Scanned at ×20; H&E stain; 5 patches cut from one gastric biopsy slide; 300×300 px each.
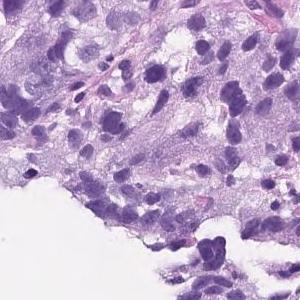
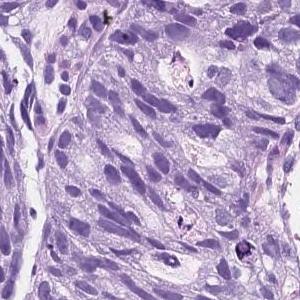
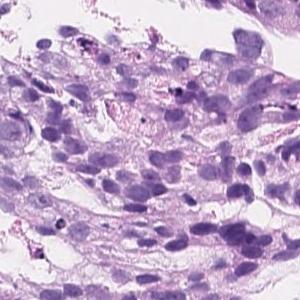
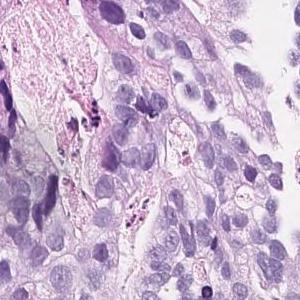
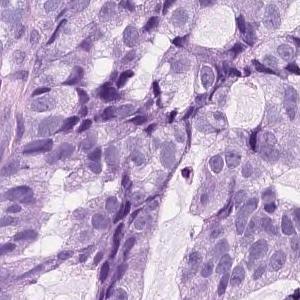
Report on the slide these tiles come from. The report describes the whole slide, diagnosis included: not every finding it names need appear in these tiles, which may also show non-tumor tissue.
On the superficial epithelium, tumor tissue consisting of an image of large, irregular glandular ducts partially fused and infiltrated is observed. Well to moderately differentiated tubular adenocarcinoma
